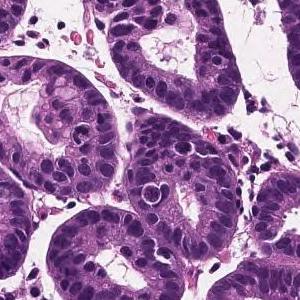
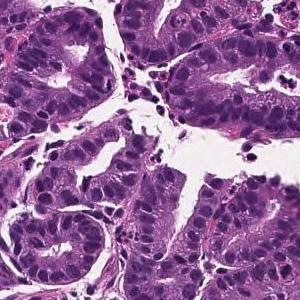
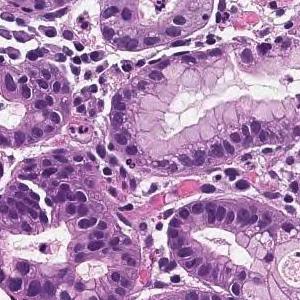
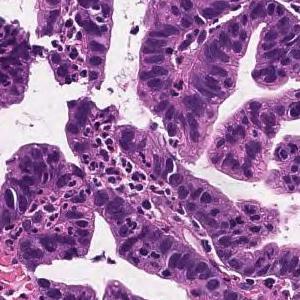
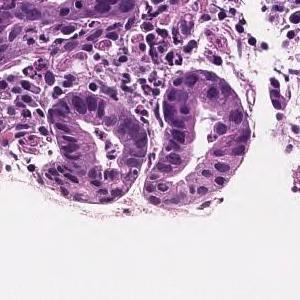
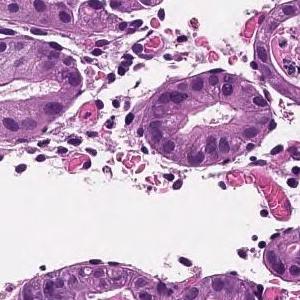
6 image tiles from a single gastric biopsy slide, 300×300 px each, H&E stain, ×20.
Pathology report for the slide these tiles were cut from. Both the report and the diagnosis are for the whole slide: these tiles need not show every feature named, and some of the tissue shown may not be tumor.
On the superficial epithelium, tumor tissue consisting of medium-sized irregular or small round gland ducts showing a small cord-like shape and infiltrating is observed. Well differentiated tubular adenocarcinoma or Poorly differentiated adenocarcinoma, non-solid type
The dataset labels this slide well differentiated tubular adenocarcinoma.
The non-solid type named here is a Japanese Classification of Gastric Carcinoma category.
